16 tiles from the same stomach biopsy slide · 300×300 px each.
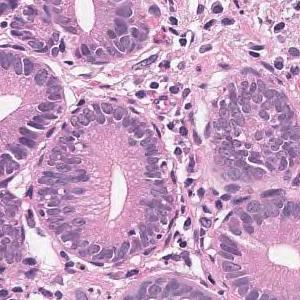
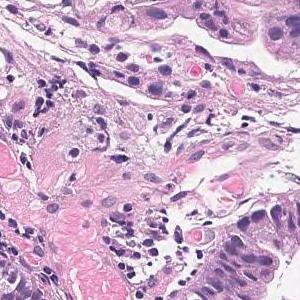
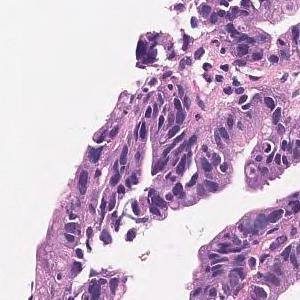
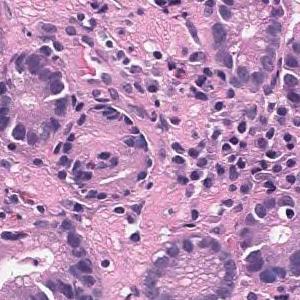
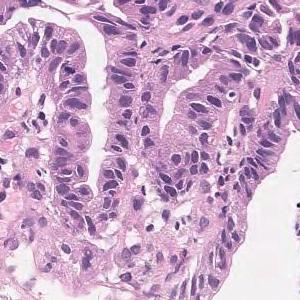
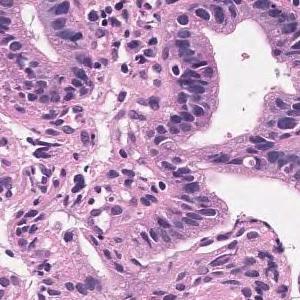
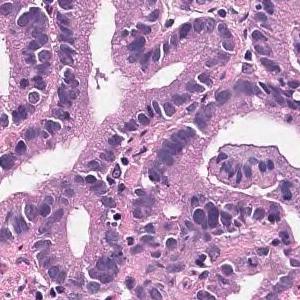
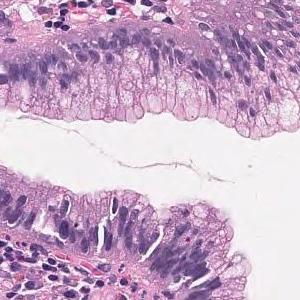
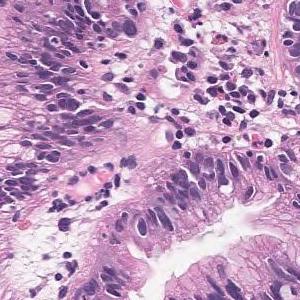
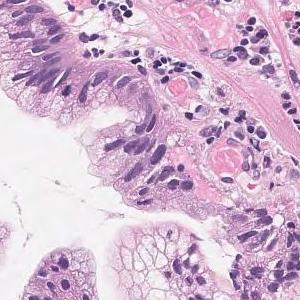
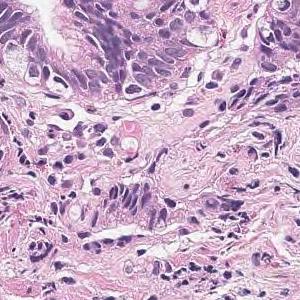
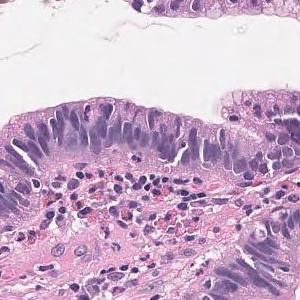
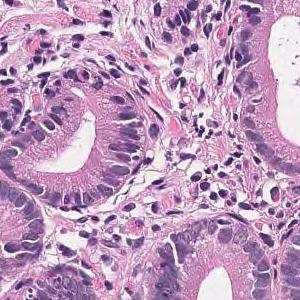
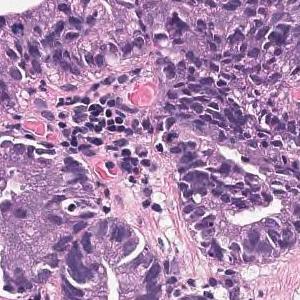
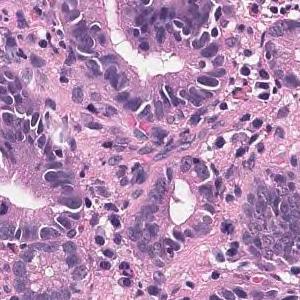
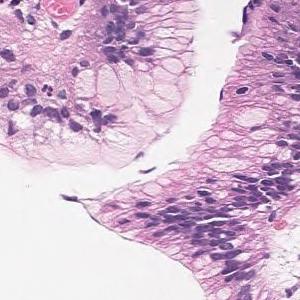
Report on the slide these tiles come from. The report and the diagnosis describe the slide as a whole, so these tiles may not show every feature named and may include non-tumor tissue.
Tumor tissue that grows tubular from the surface to the glandular fossa is seen. Adenocarcinoma.
Subtype: Well differentiated tubular adenocarcinoma.
